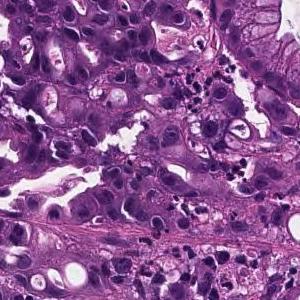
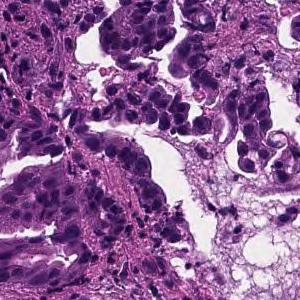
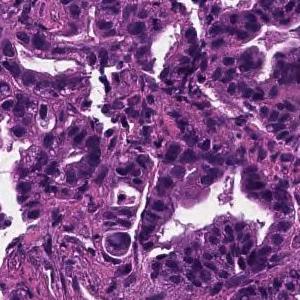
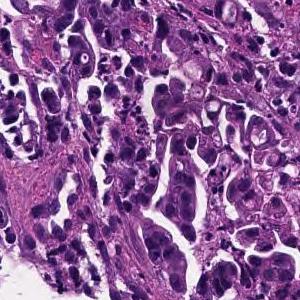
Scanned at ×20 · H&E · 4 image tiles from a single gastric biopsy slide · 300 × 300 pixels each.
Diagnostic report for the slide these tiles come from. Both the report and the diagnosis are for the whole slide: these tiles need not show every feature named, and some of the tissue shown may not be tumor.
Tumor tissue consisting of medium-sized, cord-like or irregular glandular infiltration is observed in the superficial epithelium. Poorly differentiated adenocarcinoma, non-solid type or moderately differentiated tubular adenocarcinoma
Histologic type: Moderately to poorly differentiated adenocarcinoma.
The non-solid type named here is a Japanese Classification of Gastric Carcinoma category.
